5 tiles from the same stomach biopsy slide; 300×300 px each; 20× magnification.
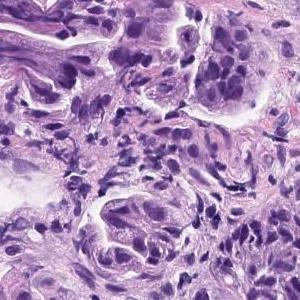
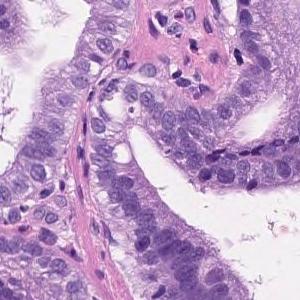
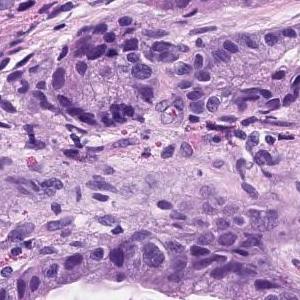
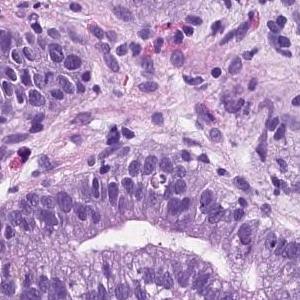
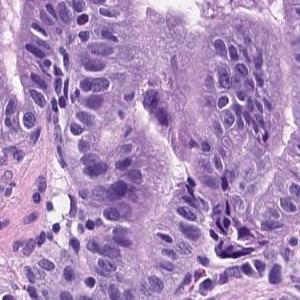
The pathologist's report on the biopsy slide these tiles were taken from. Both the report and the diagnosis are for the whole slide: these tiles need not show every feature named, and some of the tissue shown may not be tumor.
Tumor tissue consisting of medium-sized and irregular ducts is observed infiltrating in the superficial epithelium. Tumor cells are highly columnar, with nuclei aligned basolaterally and polarized. Well differentiated tubular adenocarcinoma.
